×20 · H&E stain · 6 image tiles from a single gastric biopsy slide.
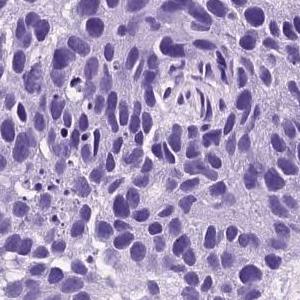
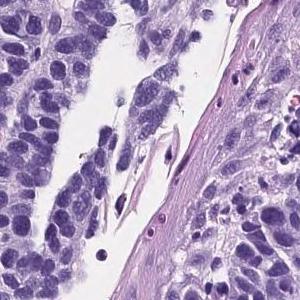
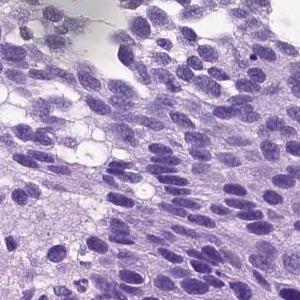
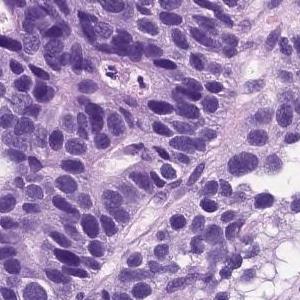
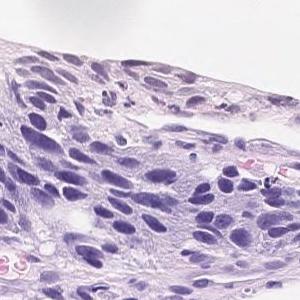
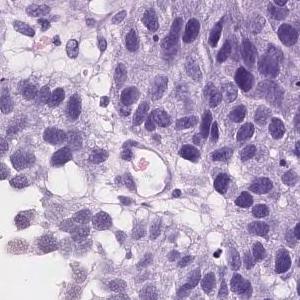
Pathology report for the biopsy slide these tiles were cut from. The report and the diagnosis cover the entire slide, so not every feature they name need be visible here, and some tissue shown may not be tumor.
Atypical cells with atypical nuclei forming small irregular atypical ducts and growing in a conformative manner. moderately differentiated tubular adenocarcinoma
Labeled in the dataset as moderately to poorly differentiated adenocarcinoma.
